5 tiles from the same stomach biopsy slide · 300×300 px each · H&E stain · scanned at ×20.
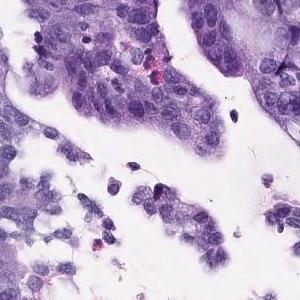
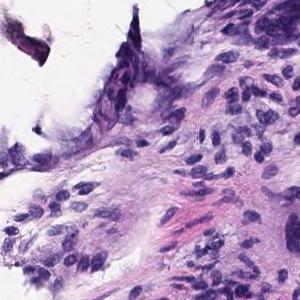
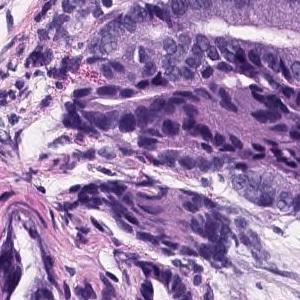
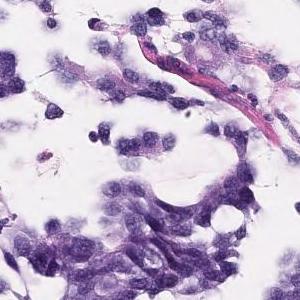
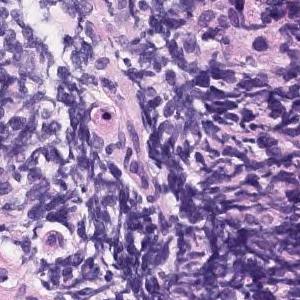
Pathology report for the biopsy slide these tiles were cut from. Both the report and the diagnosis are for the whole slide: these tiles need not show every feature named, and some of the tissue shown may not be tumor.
In the superficial epithelium, tumor tissue that invades by forming medium-sized to small, irregular ducts is observed. Well to moderately differentiated tubular adenocarcinoma.
